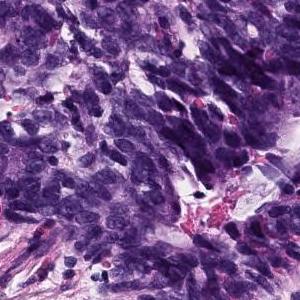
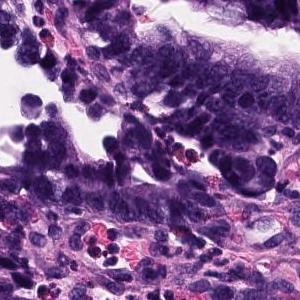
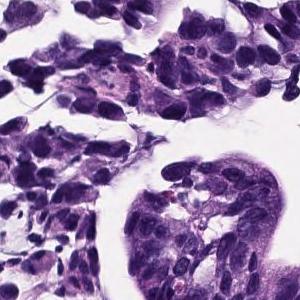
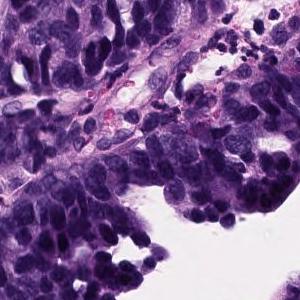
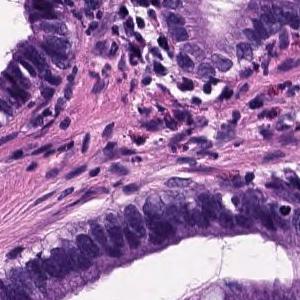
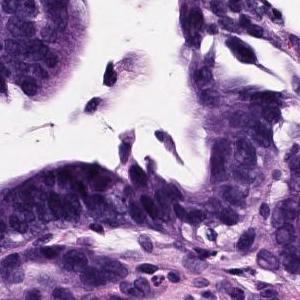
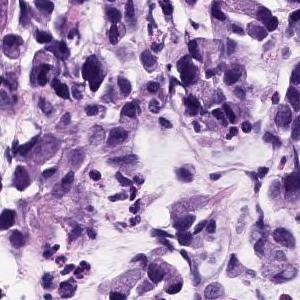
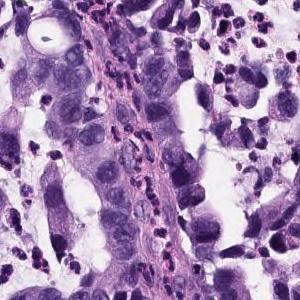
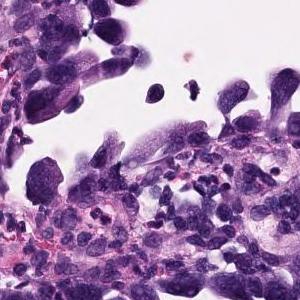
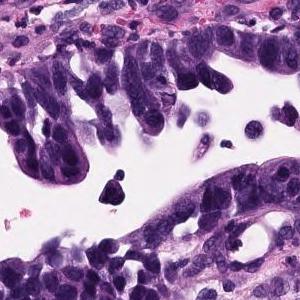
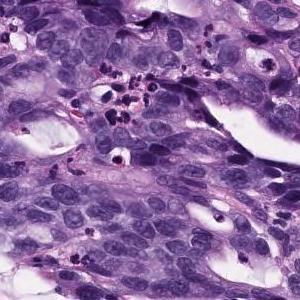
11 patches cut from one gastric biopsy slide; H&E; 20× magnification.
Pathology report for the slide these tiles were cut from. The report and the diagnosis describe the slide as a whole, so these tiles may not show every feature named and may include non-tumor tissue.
Atypical epithelium proliferating showing villus construction and irregular gland duct construction is observed. Moderately differentiated tubular adenocarcinoma.
